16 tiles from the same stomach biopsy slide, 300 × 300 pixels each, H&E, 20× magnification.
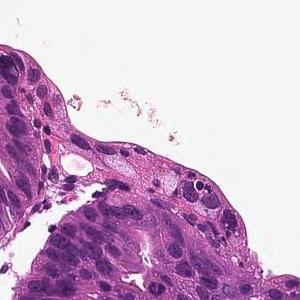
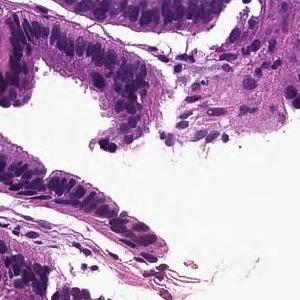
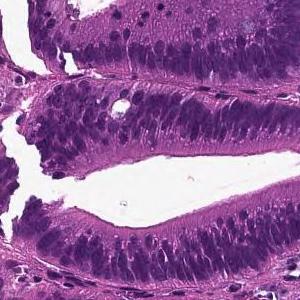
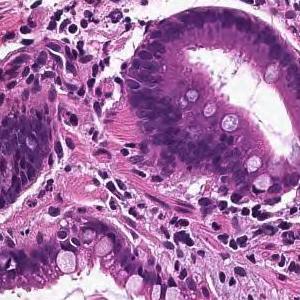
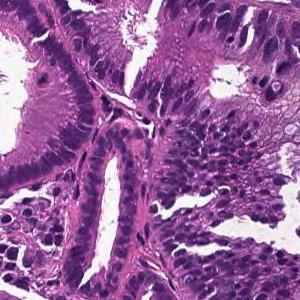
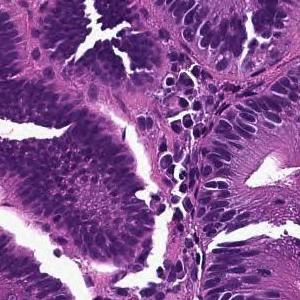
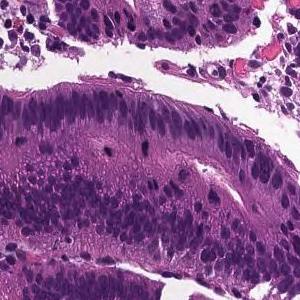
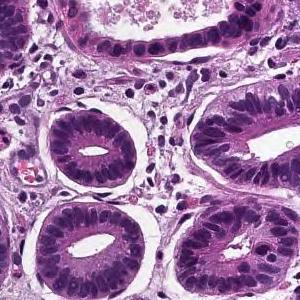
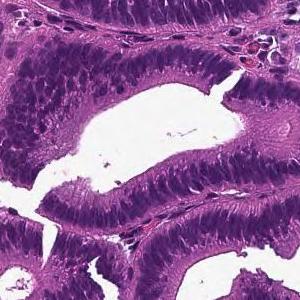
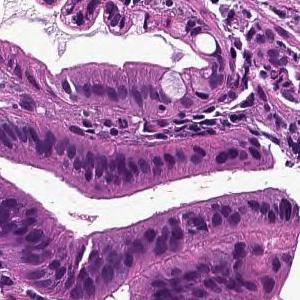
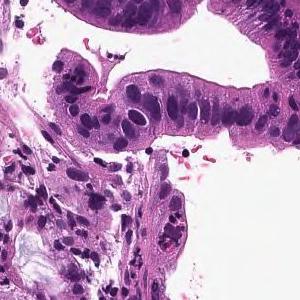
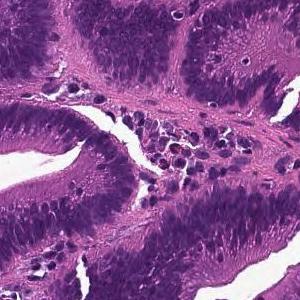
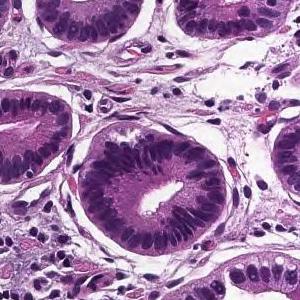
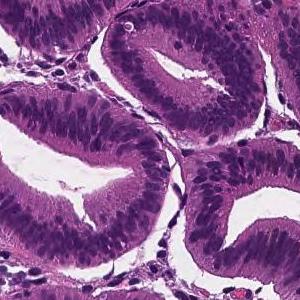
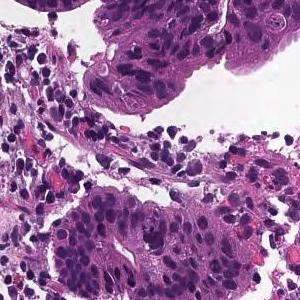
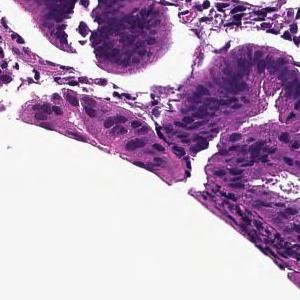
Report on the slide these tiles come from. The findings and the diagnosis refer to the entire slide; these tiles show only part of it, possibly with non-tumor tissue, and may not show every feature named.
From the superficial epithelium to the muscularis mucosae, tumor tissue consisting of medium-sized and irregular glandular ducts infiltrating is observed. Well differentiated tubular adenocarcinoma
